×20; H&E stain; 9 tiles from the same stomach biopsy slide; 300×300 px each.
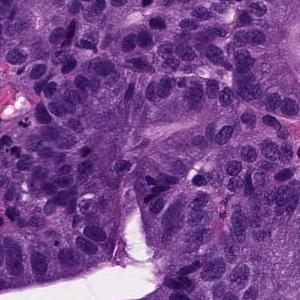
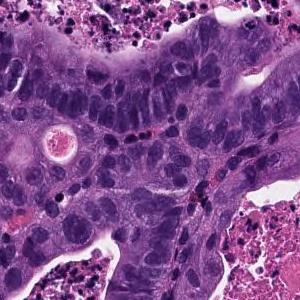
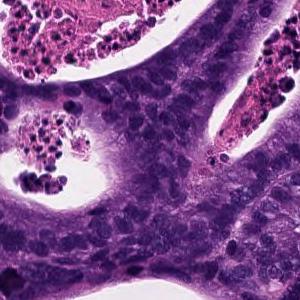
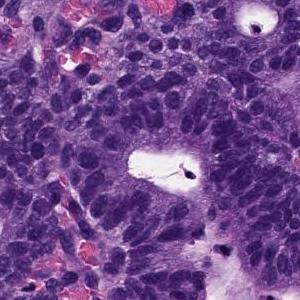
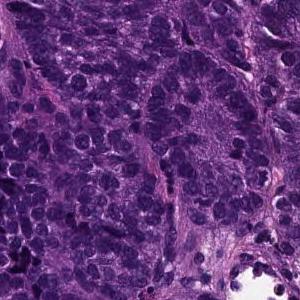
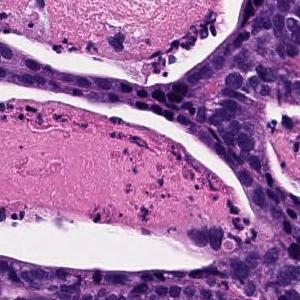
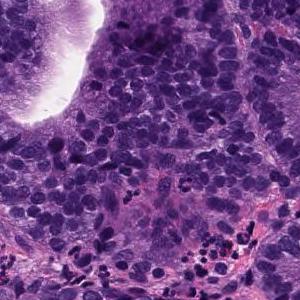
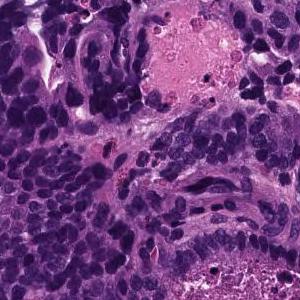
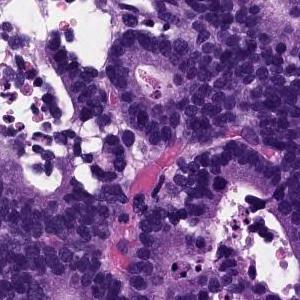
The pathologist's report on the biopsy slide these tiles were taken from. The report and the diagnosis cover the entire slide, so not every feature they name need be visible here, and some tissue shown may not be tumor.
From the superficial epithelium to the muscularis mucosae, tumor tissue consisting of medium-sized and irregular glandular ducts infiltrating is observed. Well differentiated tubular adenocarcinoma
